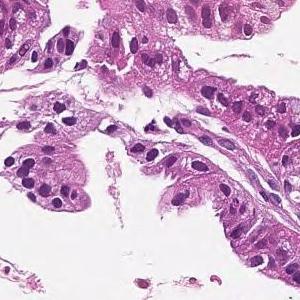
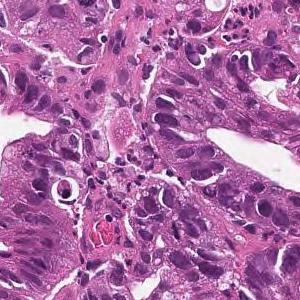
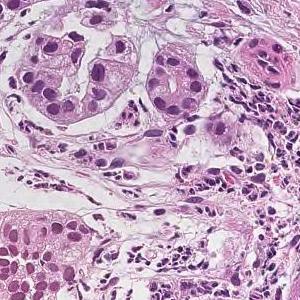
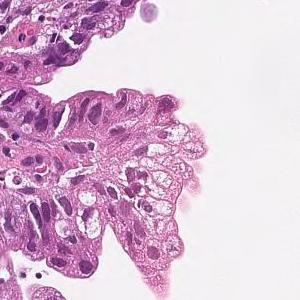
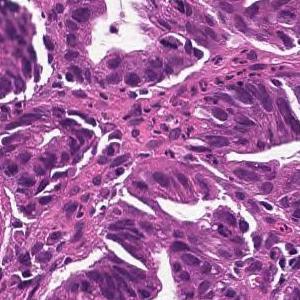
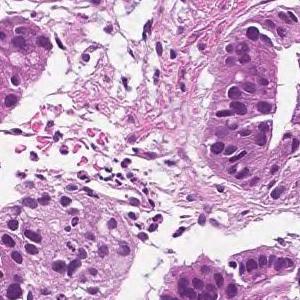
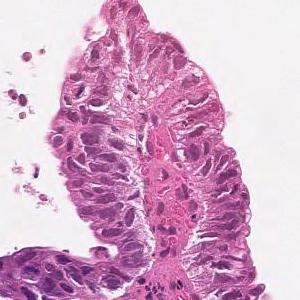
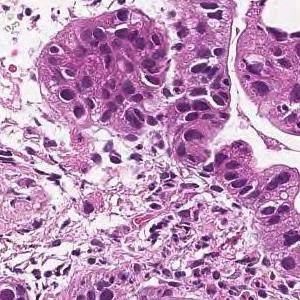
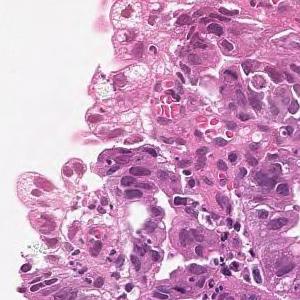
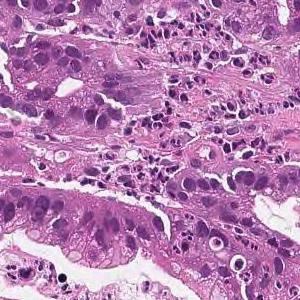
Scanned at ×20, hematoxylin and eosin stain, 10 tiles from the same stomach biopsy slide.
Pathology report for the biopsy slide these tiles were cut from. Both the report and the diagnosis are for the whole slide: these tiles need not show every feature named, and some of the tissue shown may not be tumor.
On the superficial epithelium, tumor tissue that infiltrates by forming medium-sized papillary or small irregular ducts is observed. Papillary adenocarcinoma
